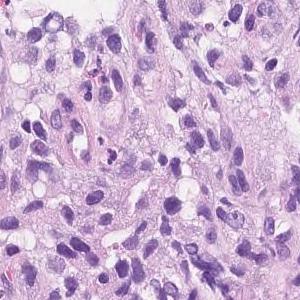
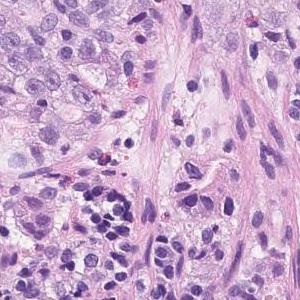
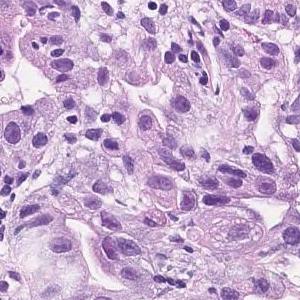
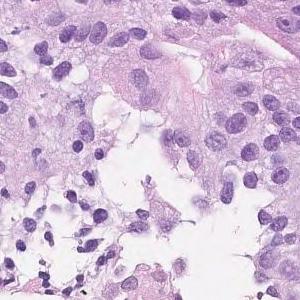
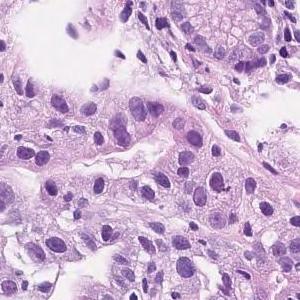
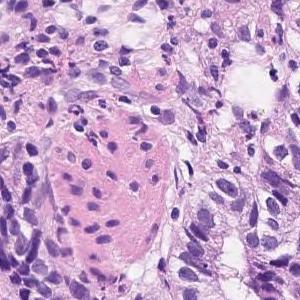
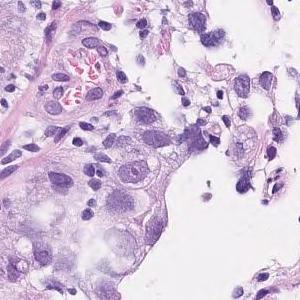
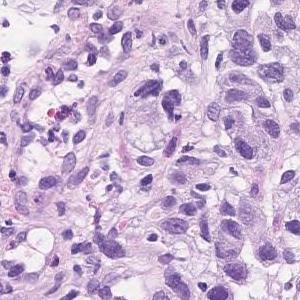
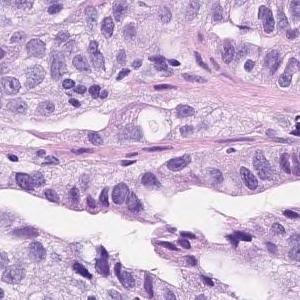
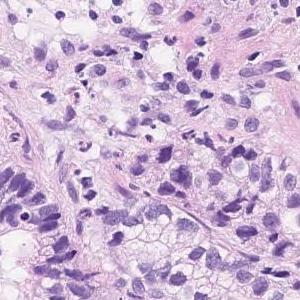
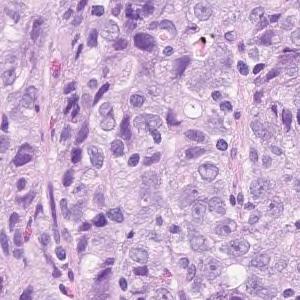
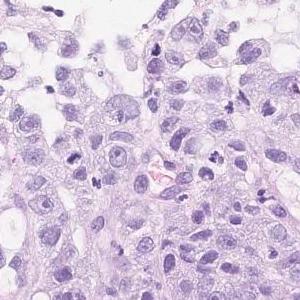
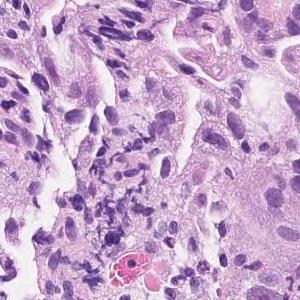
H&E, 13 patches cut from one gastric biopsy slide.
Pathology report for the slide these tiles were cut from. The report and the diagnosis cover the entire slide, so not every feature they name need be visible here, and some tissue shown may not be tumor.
In the superficial epithelium, tumor tissue that invades by forming medium-sized to small, irregular ducts is observed. Moderately to poorly differentiated adenocarcinoma
